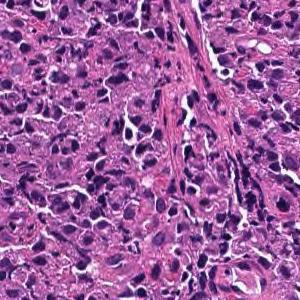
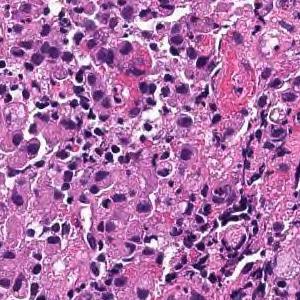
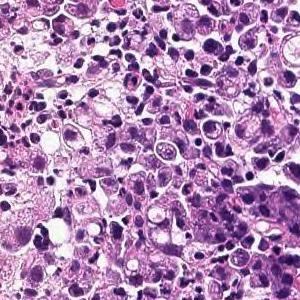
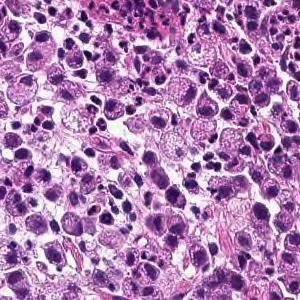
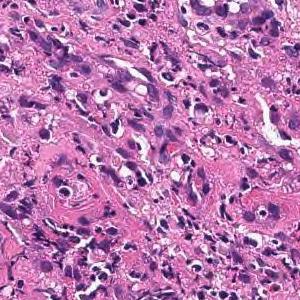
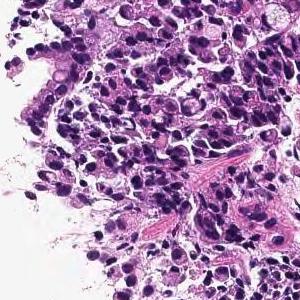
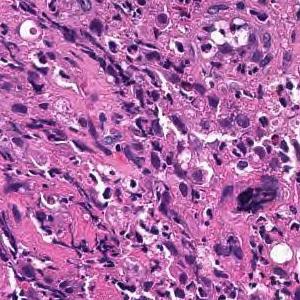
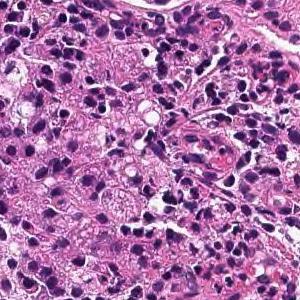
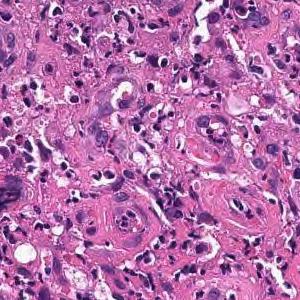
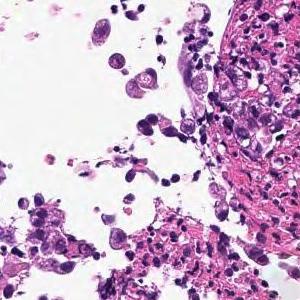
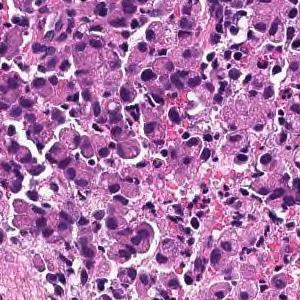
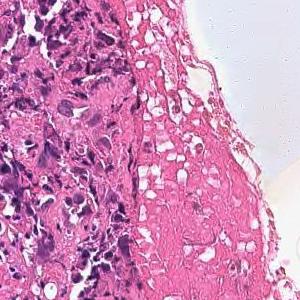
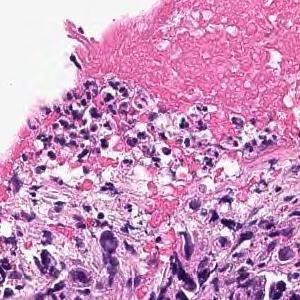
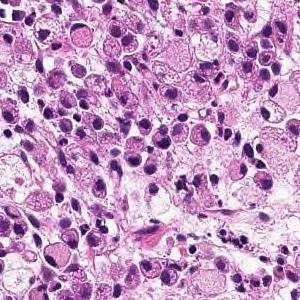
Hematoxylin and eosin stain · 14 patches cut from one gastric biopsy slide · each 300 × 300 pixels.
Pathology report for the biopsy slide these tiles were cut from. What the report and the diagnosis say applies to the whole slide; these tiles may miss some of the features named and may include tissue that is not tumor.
Tumor tissue consisting of diffusely infiltrated large atypical epithelial cells or signet ring atypical cells is observed in the superficial epithelium. Poorly differentiated adenocarcinoma, solid-type
Tumor subtype: poorly differentiated adenocarcinoma, solid type, a category of the Japanese Classification of Gastric Carcinoma; in the WHO 2019 classification it is tubular adenocarcinoma, poorly differentiated.
